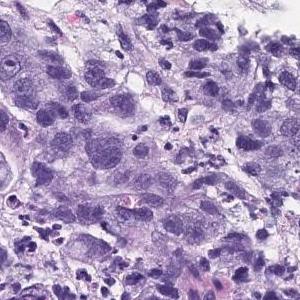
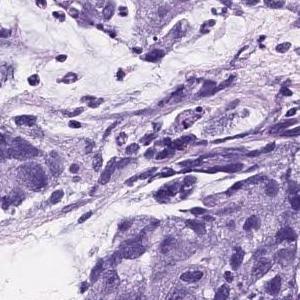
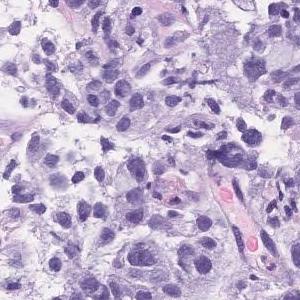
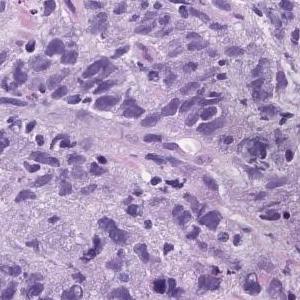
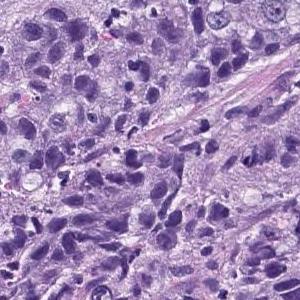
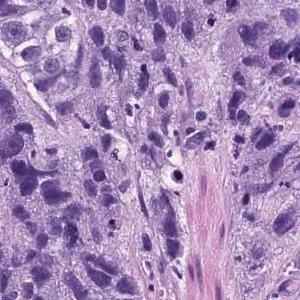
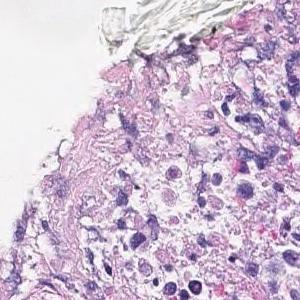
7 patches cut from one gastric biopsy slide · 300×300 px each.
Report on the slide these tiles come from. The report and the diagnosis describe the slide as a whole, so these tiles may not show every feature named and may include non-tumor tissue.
Atypical l cells with atypical nuclei forming solid vesicles or small irregular atypical ducts that proliferate in a complex manner. poorly differentiated adenocarcinoma, solid type, moderately differentiated tubular adenocarcinoma
The solid type named here is a Japanese Classification of Gastric Carcinoma category; WHO 2019 calls it tubular adenocarcinoma, poorly differentiated.
